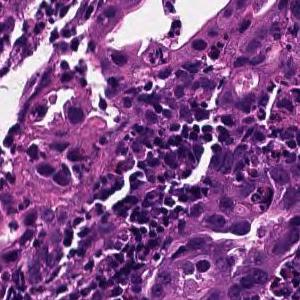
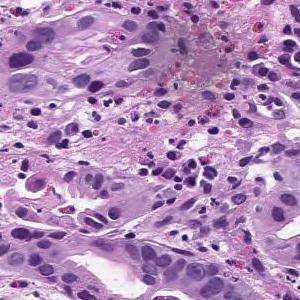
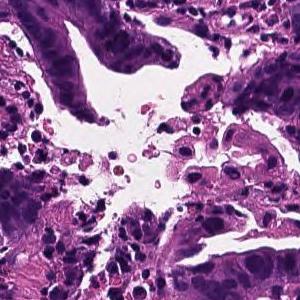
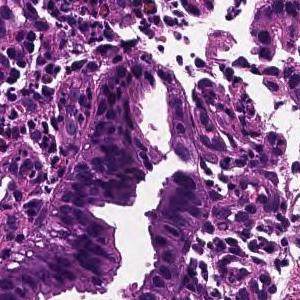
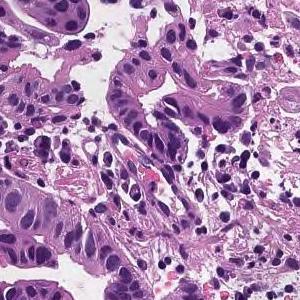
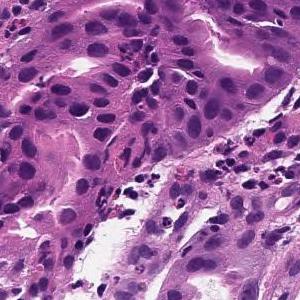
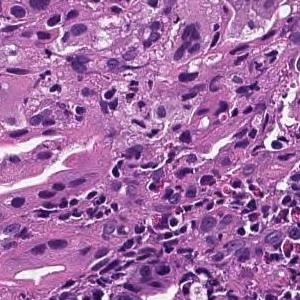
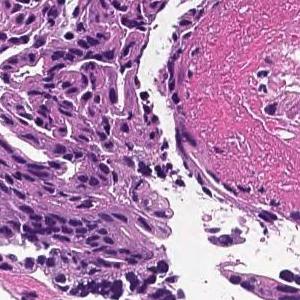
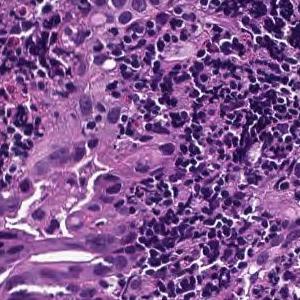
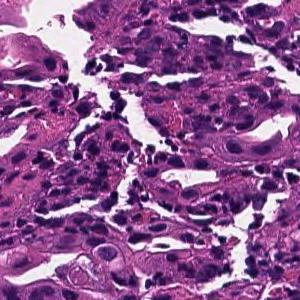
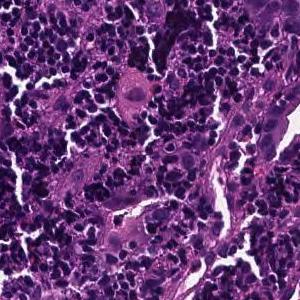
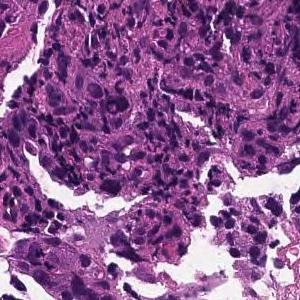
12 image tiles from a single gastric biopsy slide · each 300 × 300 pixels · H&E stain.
Pathology report for the slide these tiles were cut from. The report describes the whole slide, diagnosis included: not every finding it names need appear in these tiles, which may also show non-tumor tissue.
In the superficial epithelium, tumor tissue that invades by forming medium-sized to small, irregular ducts is observed. moderately differentiated tubular adenocarcinoma.
